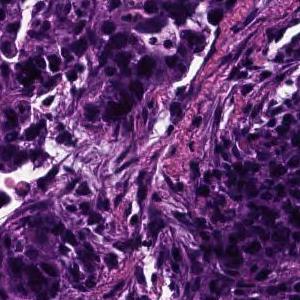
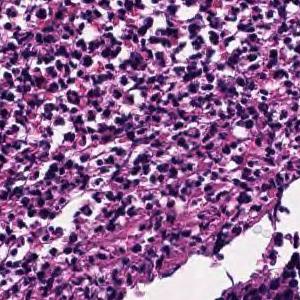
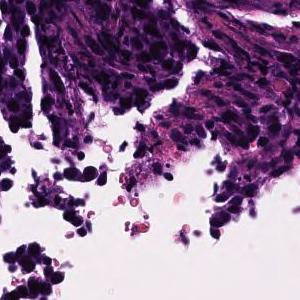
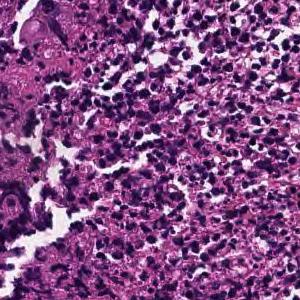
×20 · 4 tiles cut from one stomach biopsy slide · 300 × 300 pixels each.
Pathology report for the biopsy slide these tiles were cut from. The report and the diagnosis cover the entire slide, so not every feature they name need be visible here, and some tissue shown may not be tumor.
In the superficial epithelium, tumor tissue that invades by forming medium-sized to small, irregular ducts is observed. moderately differentiated tubular adenocarcinoma.
